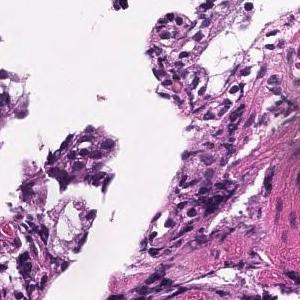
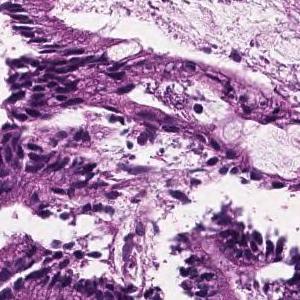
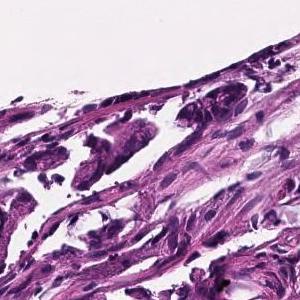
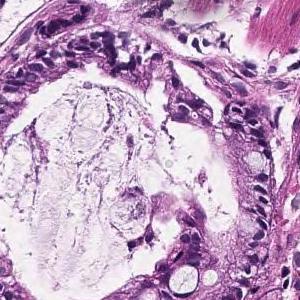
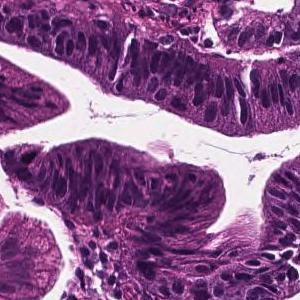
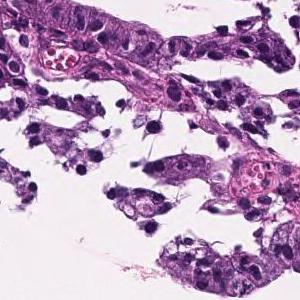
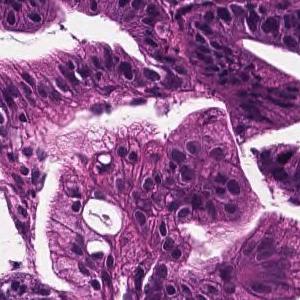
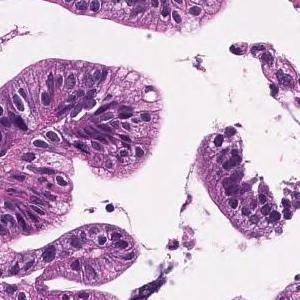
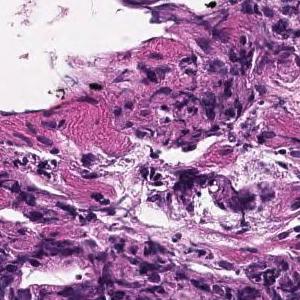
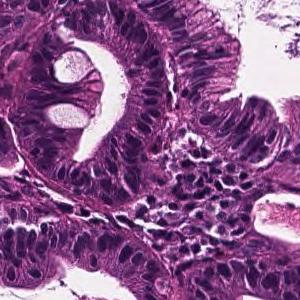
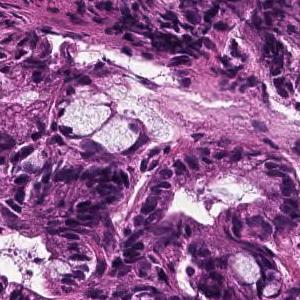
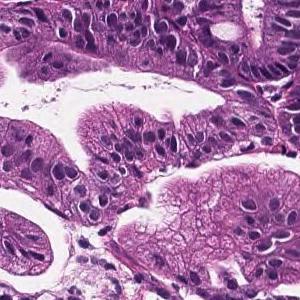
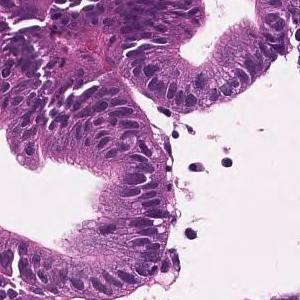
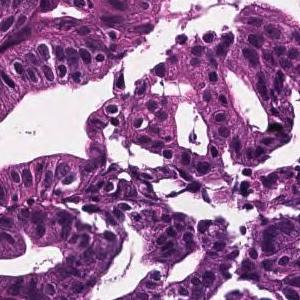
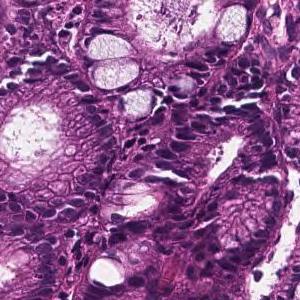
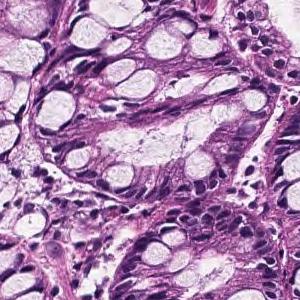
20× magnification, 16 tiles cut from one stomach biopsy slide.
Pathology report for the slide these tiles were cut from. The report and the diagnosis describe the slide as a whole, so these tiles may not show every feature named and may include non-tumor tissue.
In the superficial epithelium, tumor tissue that invades by forming medium-sized to small, irregular ducts is observed. Well differentiated tubular adenocarcinoma.
